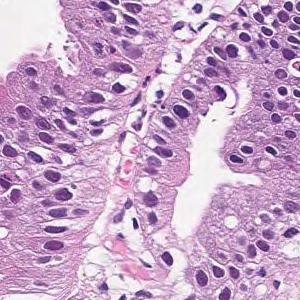
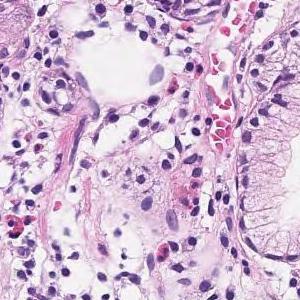
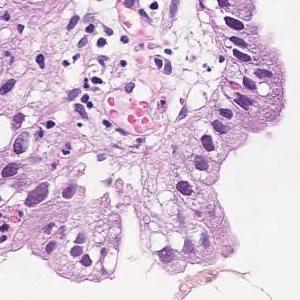
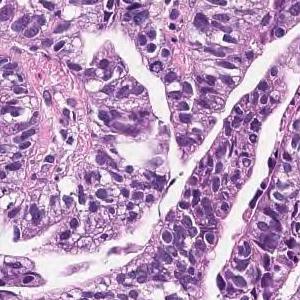
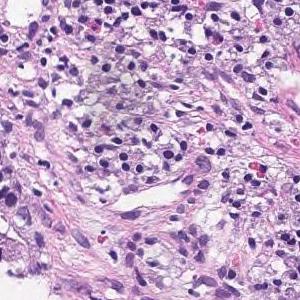
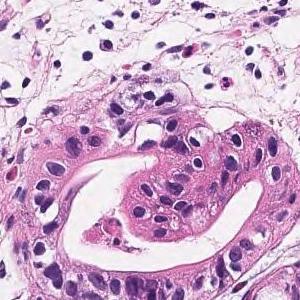
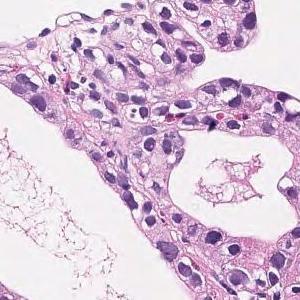
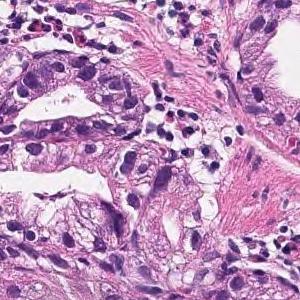
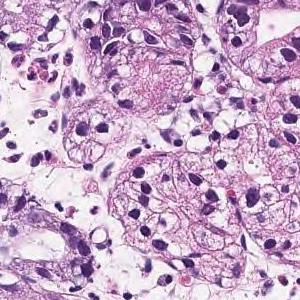
9 tiles from the same stomach biopsy slide; 300×300 px each; ×20; H&E stain.
Report on the slide these tiles come from. Both the report and the diagnosis are for the whole slide: these tiles need not show every feature named, and some of the tissue shown may not be tumor.
In the superficial epithelium, tumor tissue that invades by forming medium-sized to small, irregular ducts is observed. Moderately differentiated adenocarcinoma.
Classified as moderately differentiated tubular adenocarcinoma.
